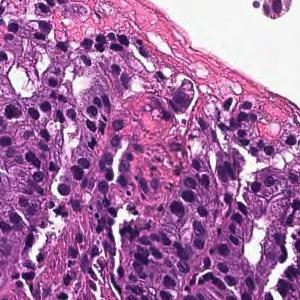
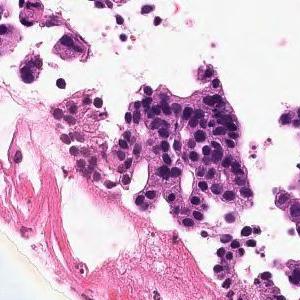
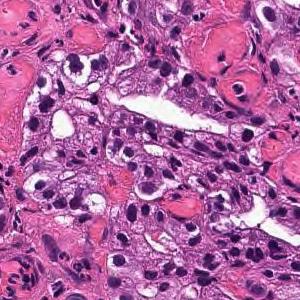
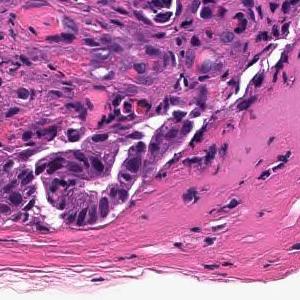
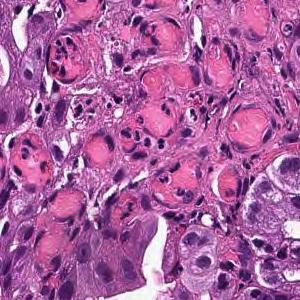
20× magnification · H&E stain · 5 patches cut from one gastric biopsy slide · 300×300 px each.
Diagnostic report for the slide these tiles come from. The findings and the diagnosis refer to the entire slide; these tiles show only part of it, possibly with non-tumor tissue, and may not show every feature named.
From the superficial epithelium to the muscularis mucosae, tumor tissue consisting of medium-sized and irregular glandular ducts infiltrating is observed. Well differentiated tubular adenocarcinoma
